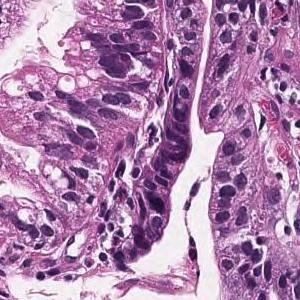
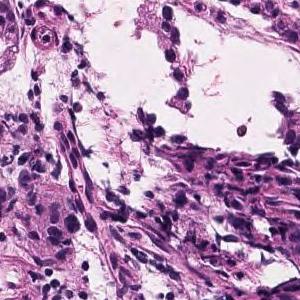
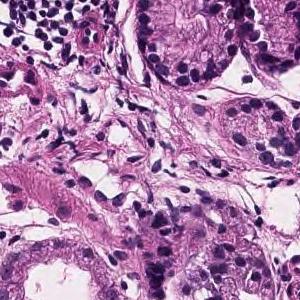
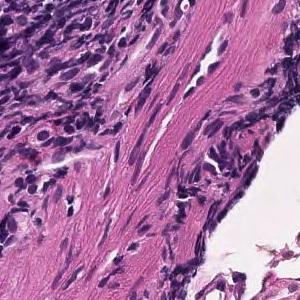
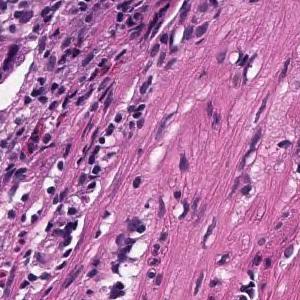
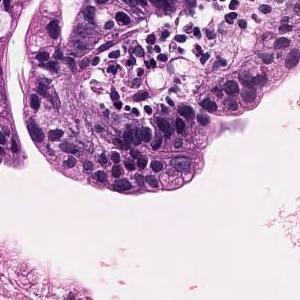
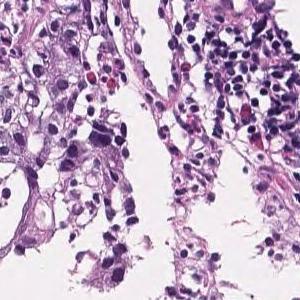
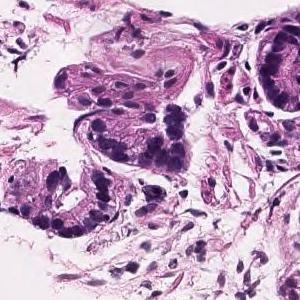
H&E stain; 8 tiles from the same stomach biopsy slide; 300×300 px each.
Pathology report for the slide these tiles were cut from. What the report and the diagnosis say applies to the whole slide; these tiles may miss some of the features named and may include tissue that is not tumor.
Tumor tissue consisting of medium-sized and irregular ducts is observed infiltrating in the superficial epithelium. Tumor cells are highly columnar, with nuclei aligned basolaterally and polarized. Well differentiated tubular adenocarcinoma.
